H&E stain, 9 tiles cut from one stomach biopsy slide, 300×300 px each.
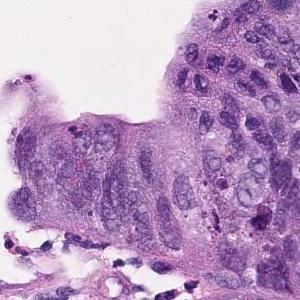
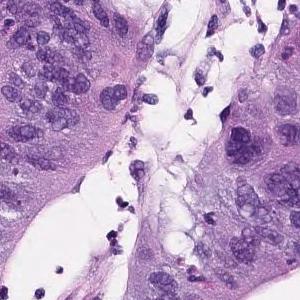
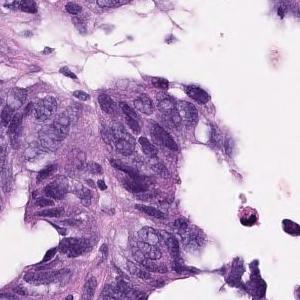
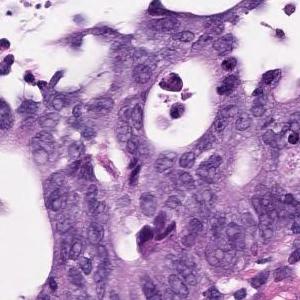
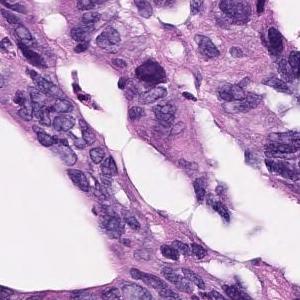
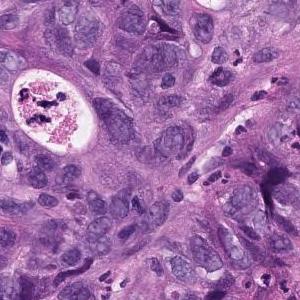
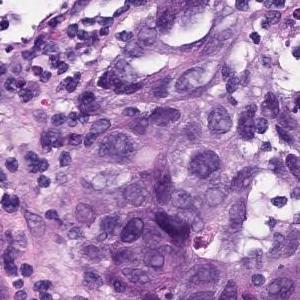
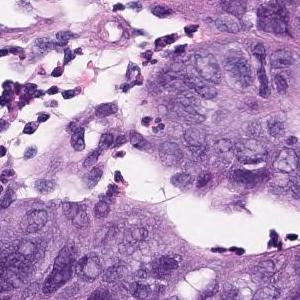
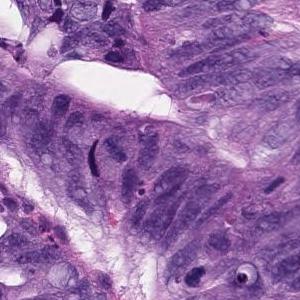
The pathologist's report on the biopsy slide these tiles were taken from. The report describes the whole slide, diagnosis included: not every finding it names need appear in these tiles, which may also show non-tumor tissue.
In the superficial epithelium, tumor tissue that invades by forming medium-sized to small, irregular ducts is observed. Moderately differentiated adenocarcinoma.
Classified as moderately differentiated tubular adenocarcinoma.
